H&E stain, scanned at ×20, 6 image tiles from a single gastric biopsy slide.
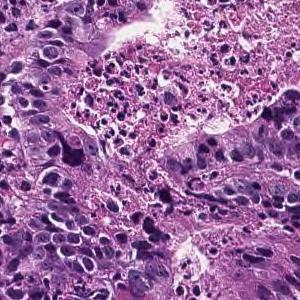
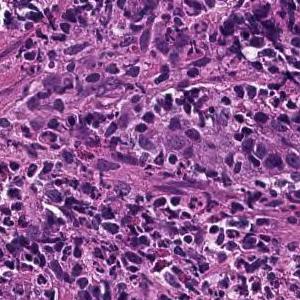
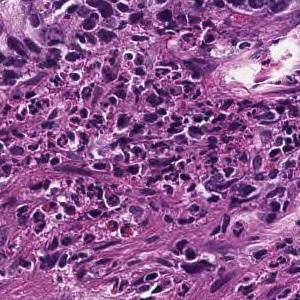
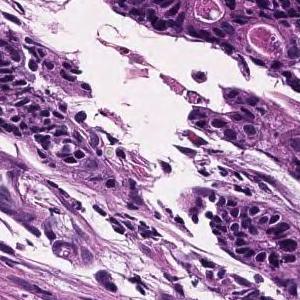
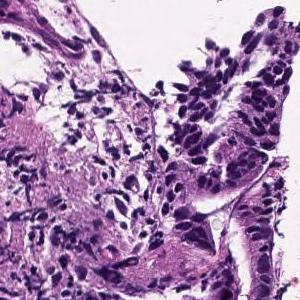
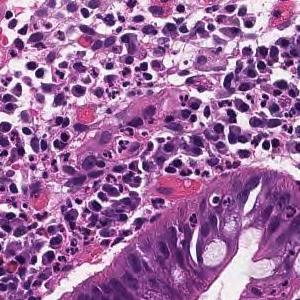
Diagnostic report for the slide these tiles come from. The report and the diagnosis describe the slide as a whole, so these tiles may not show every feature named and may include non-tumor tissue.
On the superficial epithelium, tumor tissue consisting of large, irregular glandular ducts partially fused and infiltrated is observed. Well to moderately differentiated tubular adenocarcinoma (well differentiated tubular adenocarcinoma, moderately differentiated tubular adenocarcinoma)
Tumor subtype: well to moderately differentiated tubular adenocarcinoma.
